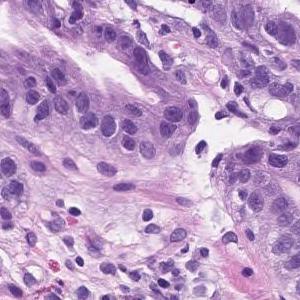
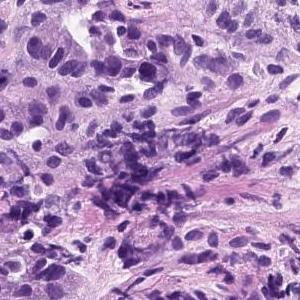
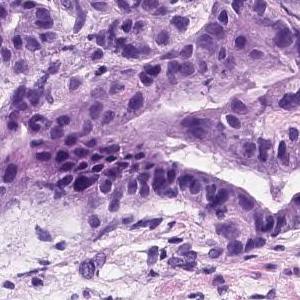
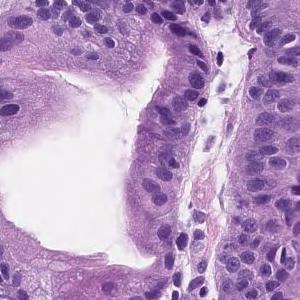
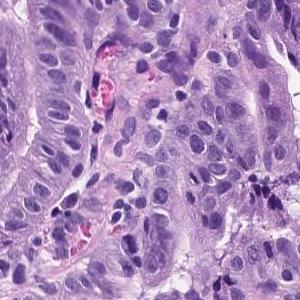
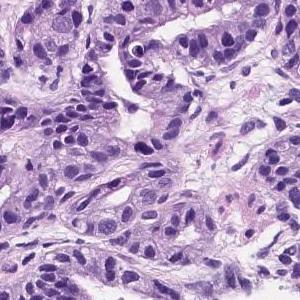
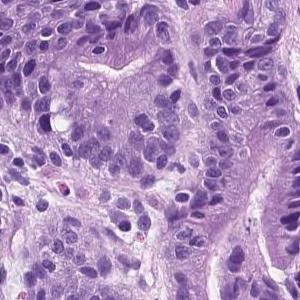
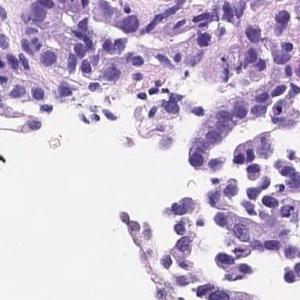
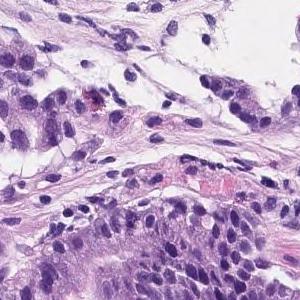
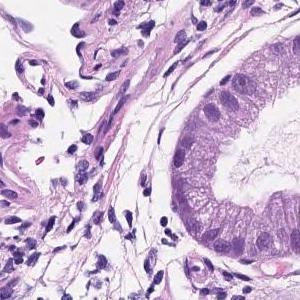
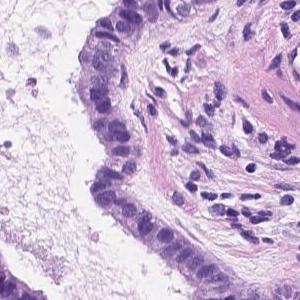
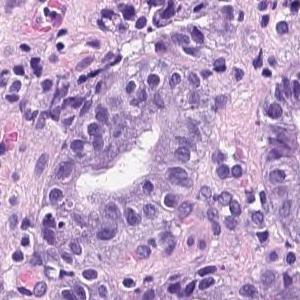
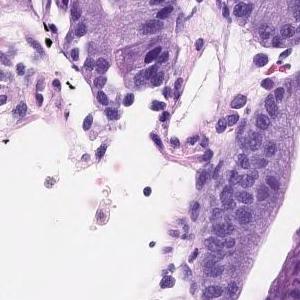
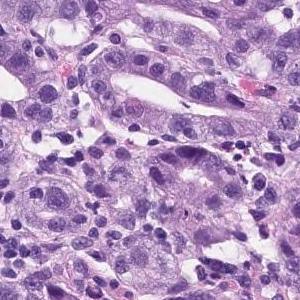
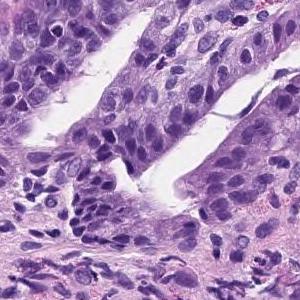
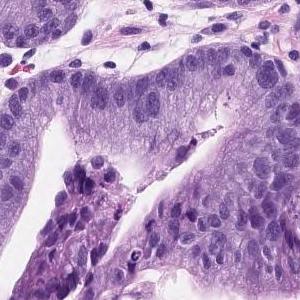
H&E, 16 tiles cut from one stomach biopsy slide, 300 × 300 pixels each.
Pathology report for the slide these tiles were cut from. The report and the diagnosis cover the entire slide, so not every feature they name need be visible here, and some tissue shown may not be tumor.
Tumor tissue consisting of medium-sized and irregular ducts is observed infiltrating in the superficial epithelium. Tumor cells are highly columnar, with nuclei aligned basolaterally and polarized. Well differentiated tubular adenocarcinoma.
